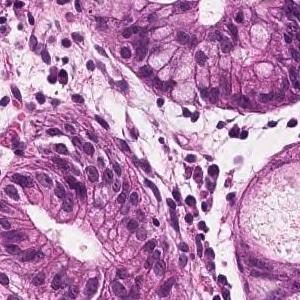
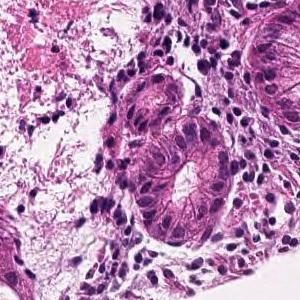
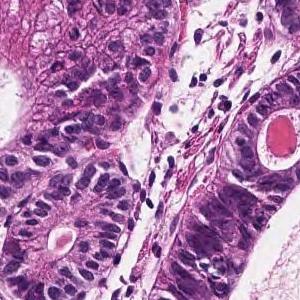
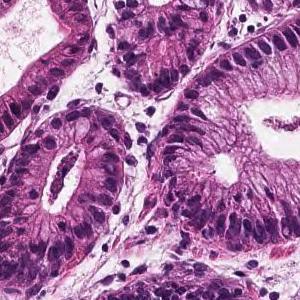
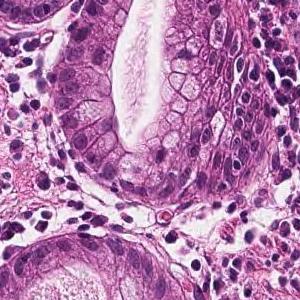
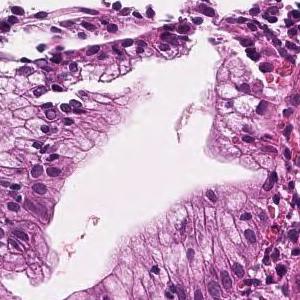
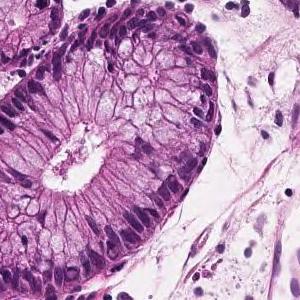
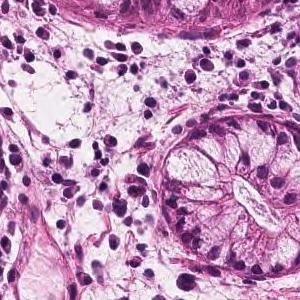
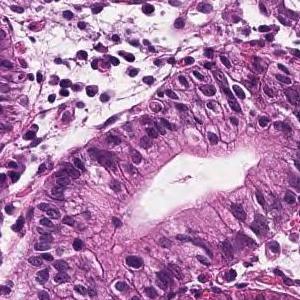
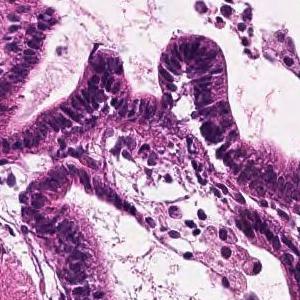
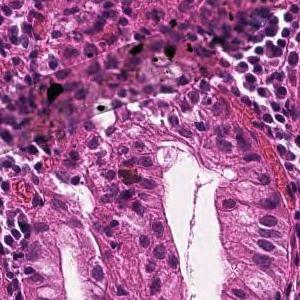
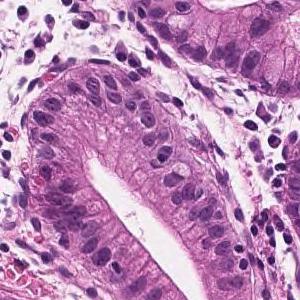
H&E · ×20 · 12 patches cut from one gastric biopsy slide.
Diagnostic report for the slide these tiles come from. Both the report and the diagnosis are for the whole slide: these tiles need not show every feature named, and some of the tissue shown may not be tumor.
In the superficial epithelium, tumor tissue that invades by forming medium-sized to small, irregular ducts is observed. Well differentiated tubular adenocarcinoma.
